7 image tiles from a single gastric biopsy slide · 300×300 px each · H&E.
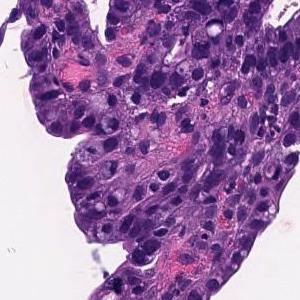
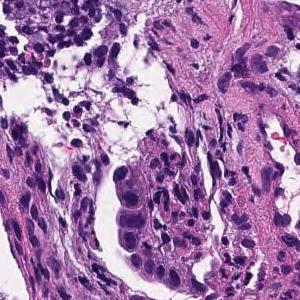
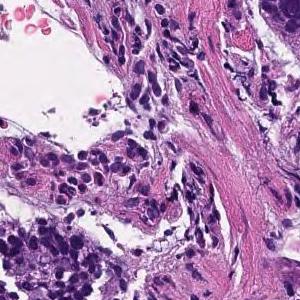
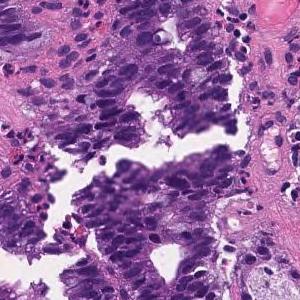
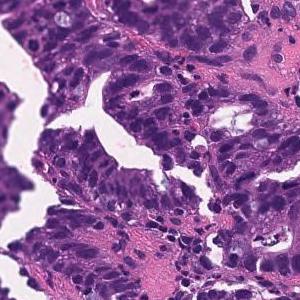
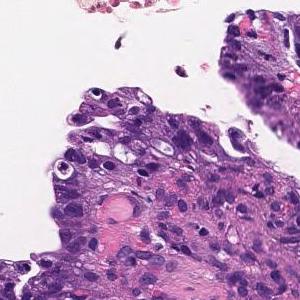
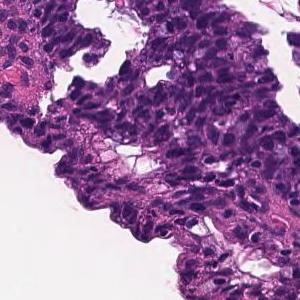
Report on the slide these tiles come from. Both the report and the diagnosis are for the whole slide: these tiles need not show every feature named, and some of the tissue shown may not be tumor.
Tumor cells are large, highly columnar, large club-shaped nuclei, and are associated with chromatin aggregation. Papillary adenocarcinoma.
